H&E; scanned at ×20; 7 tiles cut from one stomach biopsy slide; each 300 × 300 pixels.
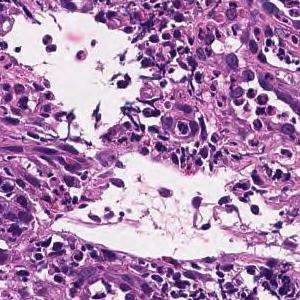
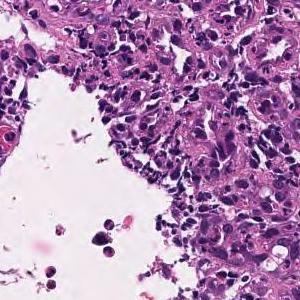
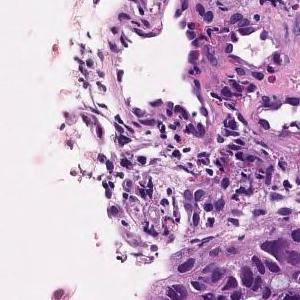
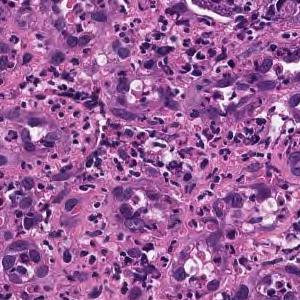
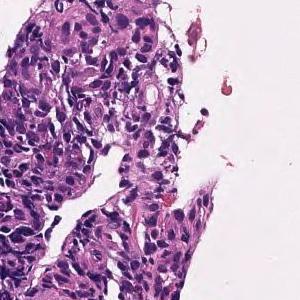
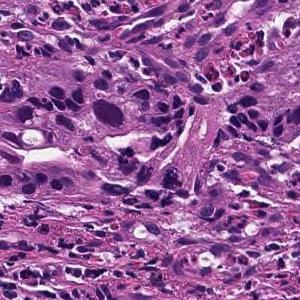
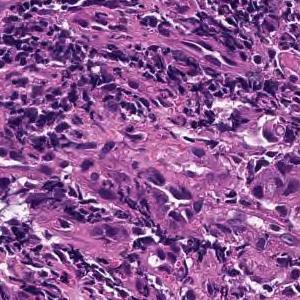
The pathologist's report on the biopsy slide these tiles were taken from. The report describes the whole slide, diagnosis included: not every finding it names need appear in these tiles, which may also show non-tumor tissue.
In the superficial epithelium, tumor tissue that invades by forming medium-sized to small, irregular ducts is observed. moderately differentiated tubular adenocarcinoma.
